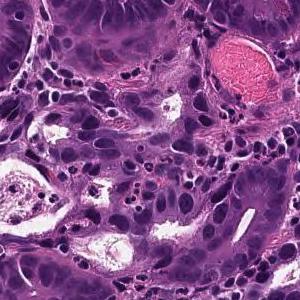
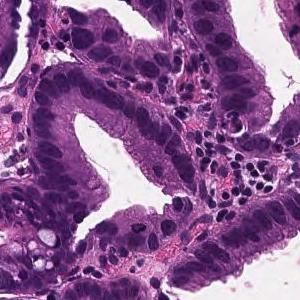
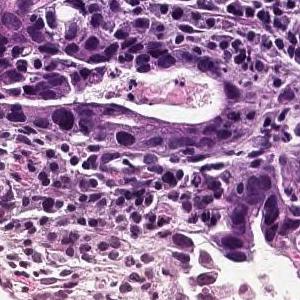
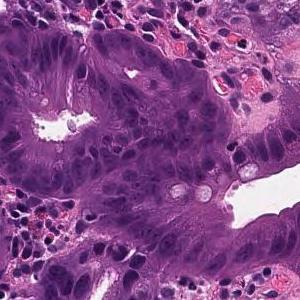
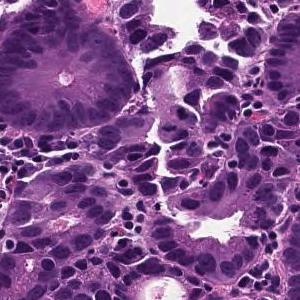
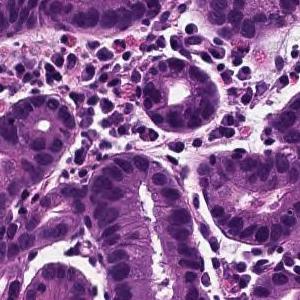
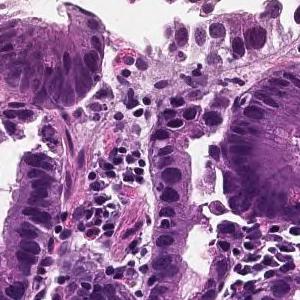
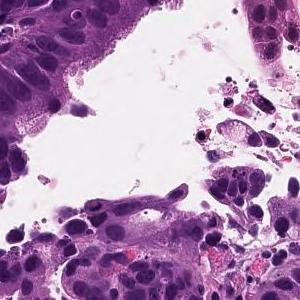
×20, H&E stain, 8 image tiles from a single gastric biopsy slide.
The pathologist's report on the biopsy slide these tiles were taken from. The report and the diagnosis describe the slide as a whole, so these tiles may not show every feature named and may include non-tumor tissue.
From the superficial epithelium to the muscularis mucosae, tumor tissue consisting of medium-sized and irregular glandular ducts infiltrating is observed. Well differentiated tubular adenocarcinoma
